5 image tiles from a single gastric biopsy slide, ×20, H&E stain.
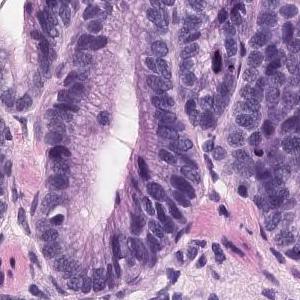
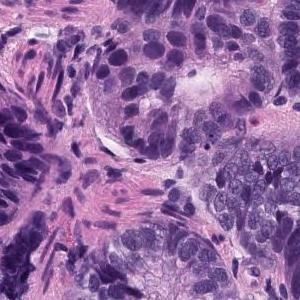
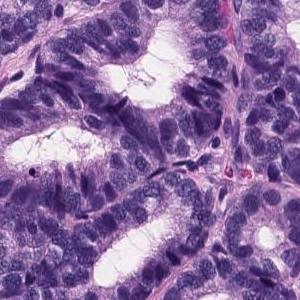
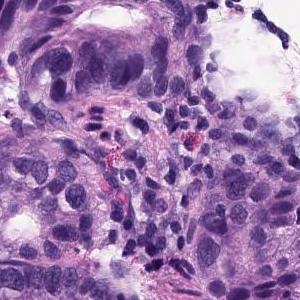
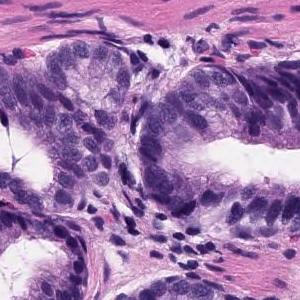
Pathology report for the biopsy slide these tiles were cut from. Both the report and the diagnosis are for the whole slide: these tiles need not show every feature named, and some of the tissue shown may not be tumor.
Tumor tissue consisting of medium-sized and irregular ducts is observed infiltrating in the superficial epithelium. Tumor cells are highly columnar, with nuclei aligned basolaterally and polarized. Well differentiated tubular adenocarcinoma.
